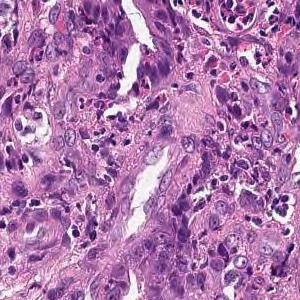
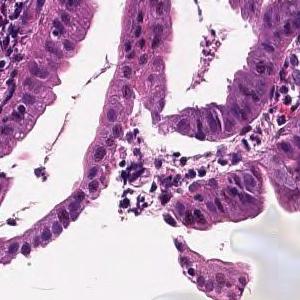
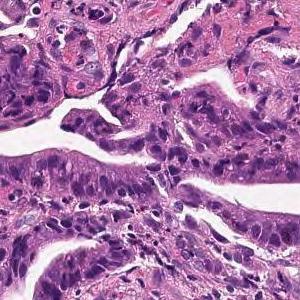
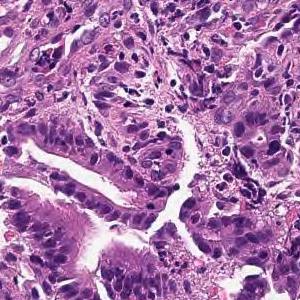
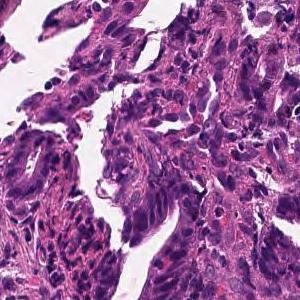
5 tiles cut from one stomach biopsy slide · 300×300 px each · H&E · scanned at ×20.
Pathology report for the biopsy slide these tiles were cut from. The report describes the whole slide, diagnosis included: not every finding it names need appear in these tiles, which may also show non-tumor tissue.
From the superficial epithelium to the muscularis mucosae, tumor tissue consisting of medium-sized and irregular glandular ducts infiltrating is observed. Well differentiated tubular adenocarcinoma
